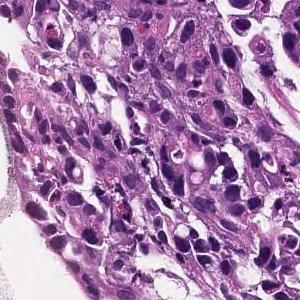
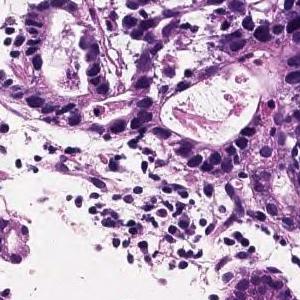
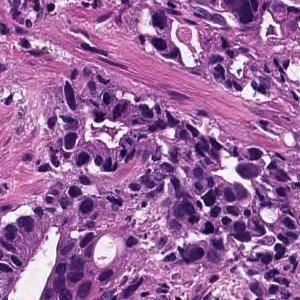
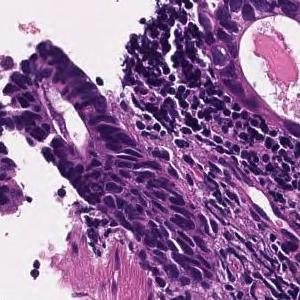
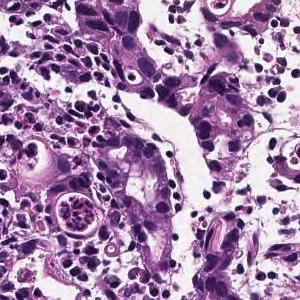
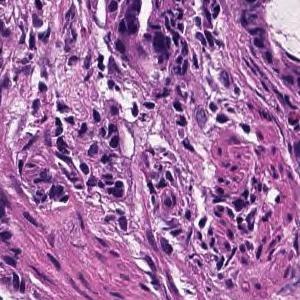
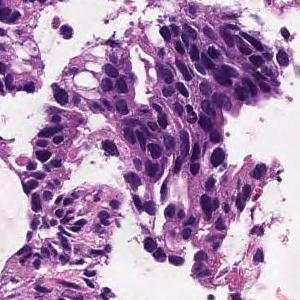
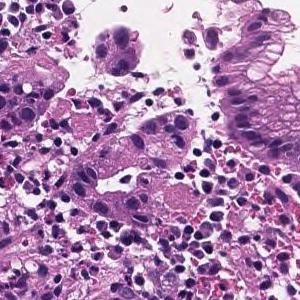
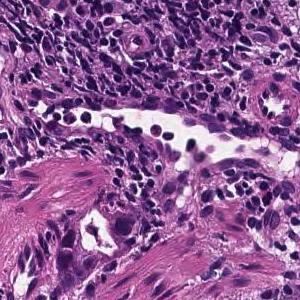
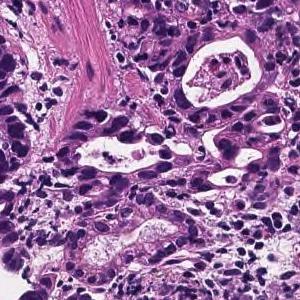
10 image tiles from a single gastric biopsy slide · H&E stain.
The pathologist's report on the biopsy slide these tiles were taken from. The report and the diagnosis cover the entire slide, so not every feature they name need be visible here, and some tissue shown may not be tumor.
In the superficial epithelium, tumor tissue that invades by forming medium-sized to small, irregular ducts is observed. moderately differentiated tubular adenocarcinoma.
